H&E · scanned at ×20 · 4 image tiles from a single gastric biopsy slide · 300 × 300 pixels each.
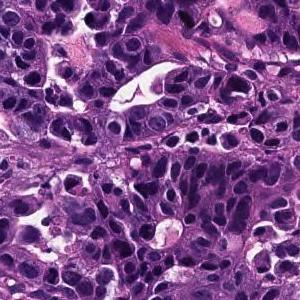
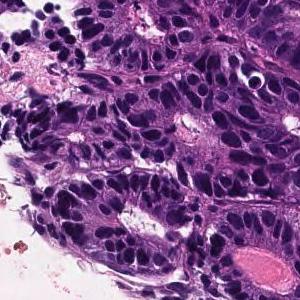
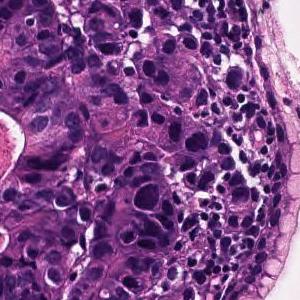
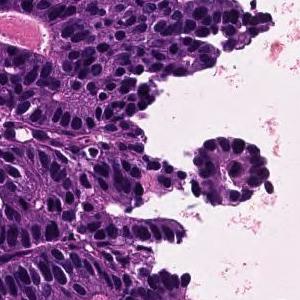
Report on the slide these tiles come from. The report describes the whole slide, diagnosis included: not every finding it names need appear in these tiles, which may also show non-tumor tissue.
In the superficial epithelium, tumor tissue that invades by forming medium-sized to small, irregular ducts is observed. moderately differentiated tubular adenocarcinoma.
